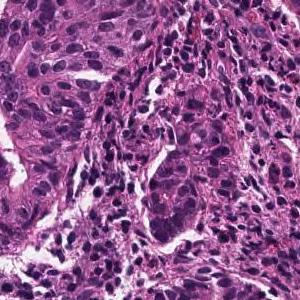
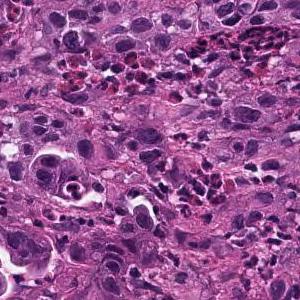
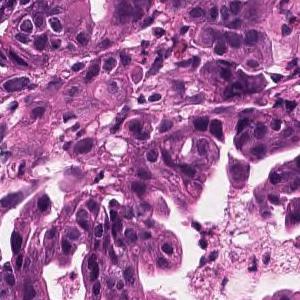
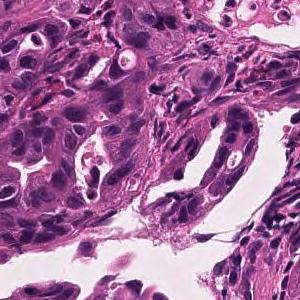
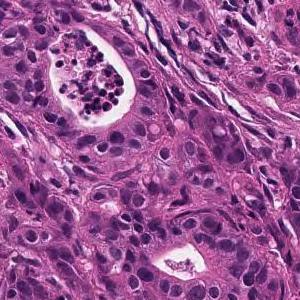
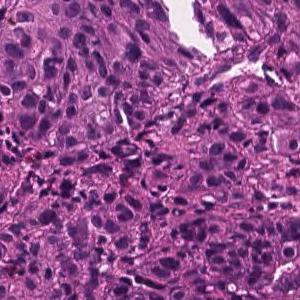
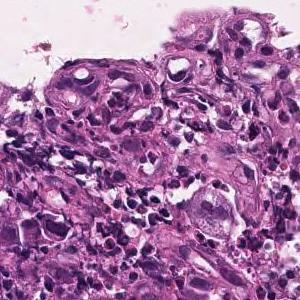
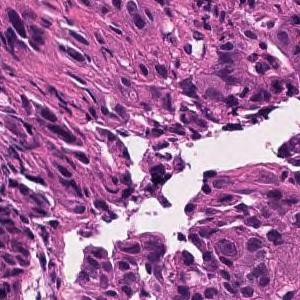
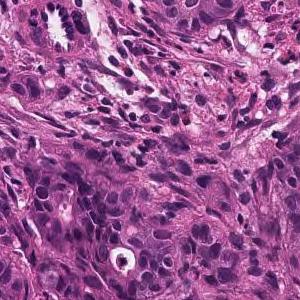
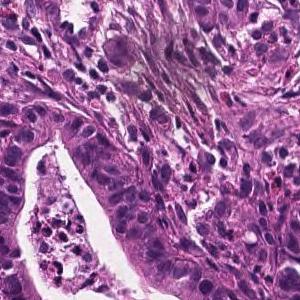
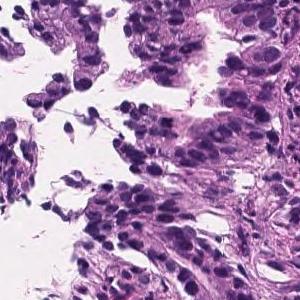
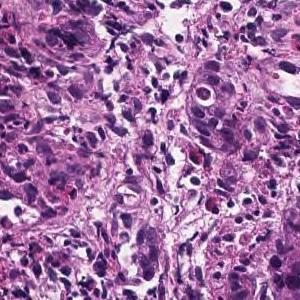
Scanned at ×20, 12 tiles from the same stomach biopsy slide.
Pathology report for the biopsy slide these tiles were cut from. What the report and the diagnosis say applies to the whole slide; these tiles may miss some of the features named and may include tissue that is not tumor.
Tumor tissue consisting of medium-sized, cord-like or irregular glandular infiltration is observed in the superficial epithelium. Poorly differentiated adenocarcinoma, non-solid type or moderately differentiated tubular adenocarcinoma
"Non-solid type" is a category of the Japanese Classification of Gastric Carcinoma.
